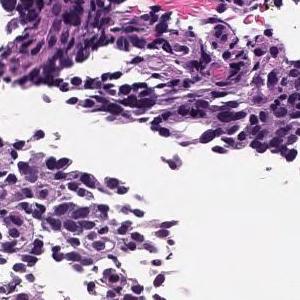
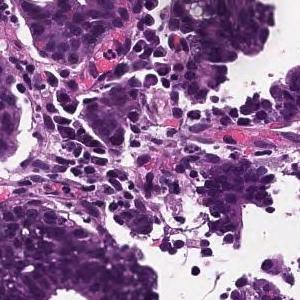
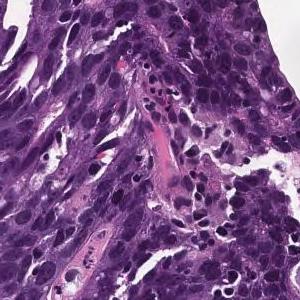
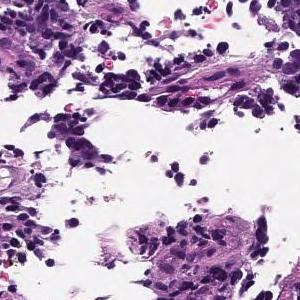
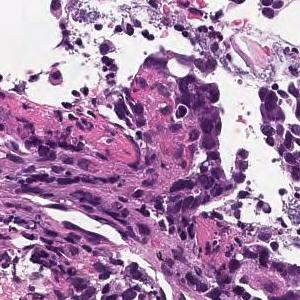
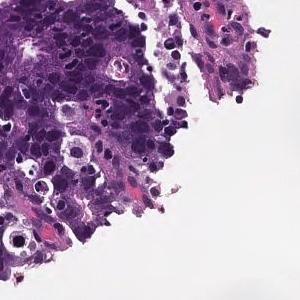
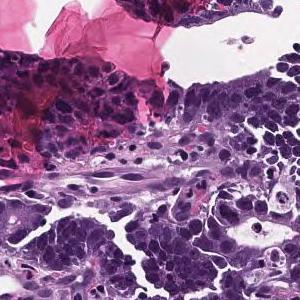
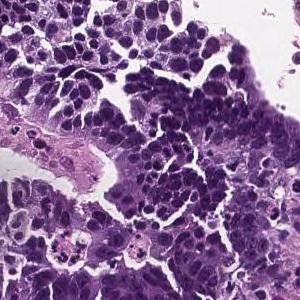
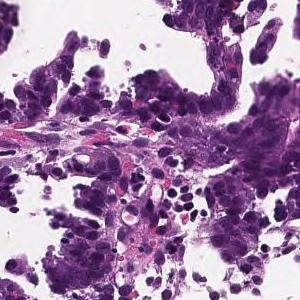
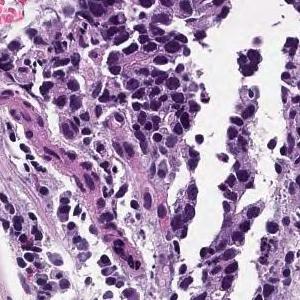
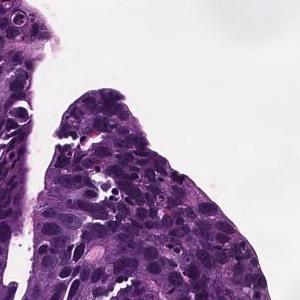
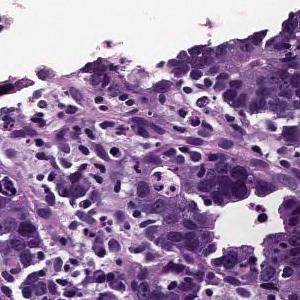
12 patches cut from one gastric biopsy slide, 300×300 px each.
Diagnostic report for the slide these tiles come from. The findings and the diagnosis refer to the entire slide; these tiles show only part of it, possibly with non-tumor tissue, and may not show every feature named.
On the superficial epithelium, tumor tissue is found in which medium-sized irregular gland ducts fuse with each other and infiltrate. moderately differentiated tubular adenocarcinoma
